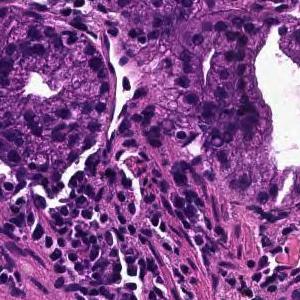
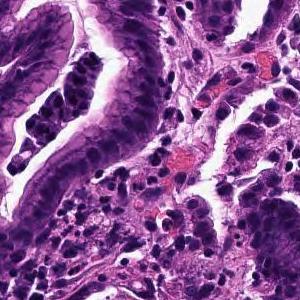
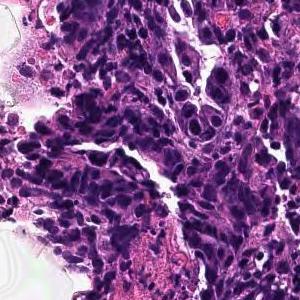
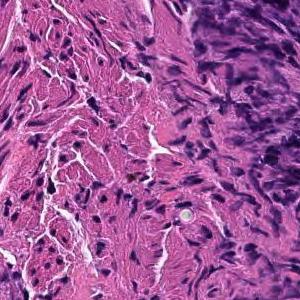
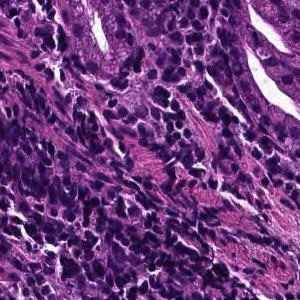
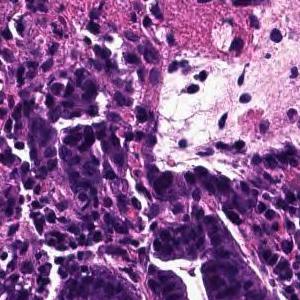
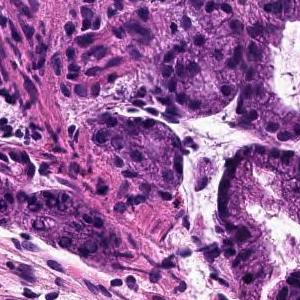
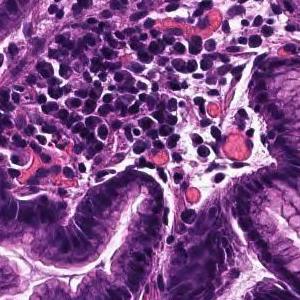
8 tiles cut from one stomach biopsy slide · each 300 × 300 pixels.
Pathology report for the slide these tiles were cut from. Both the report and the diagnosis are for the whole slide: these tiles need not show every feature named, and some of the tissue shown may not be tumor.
The superficial epithelium shows a large sheet-like shape, and some tumor tissue infiltrates with small irregular ducts. Poorly differentiated adenocarcinoma, solid-type
Tumor subtype: poorly differentiated adenocarcinoma, solid type, a category of the Japanese Classification of Gastric Carcinoma; in the WHO 2019 classification it is tubular adenocarcinoma, poorly differentiated.
